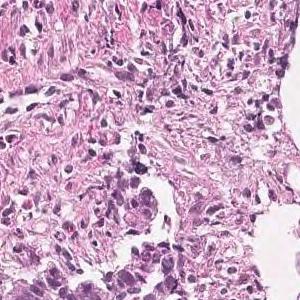
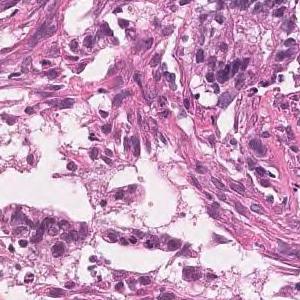
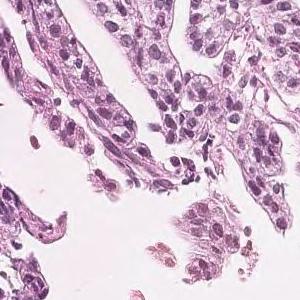
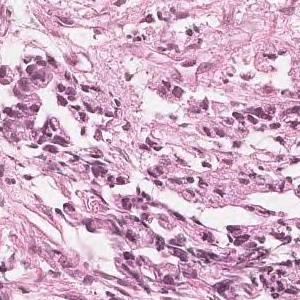
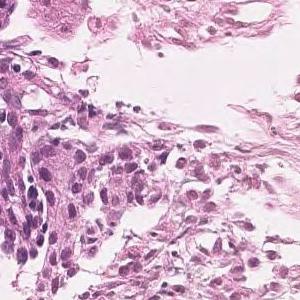
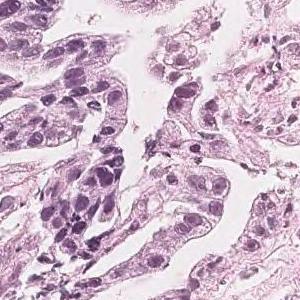
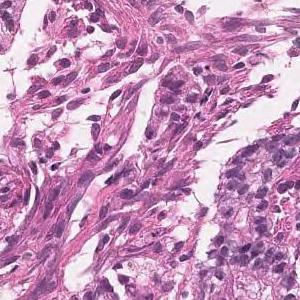
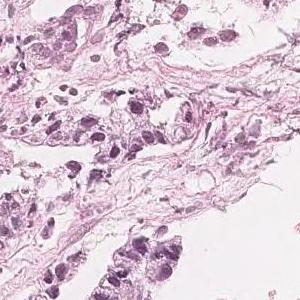
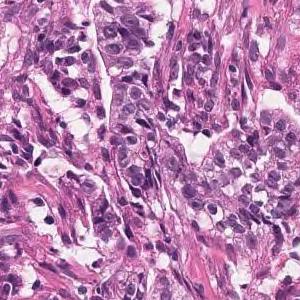
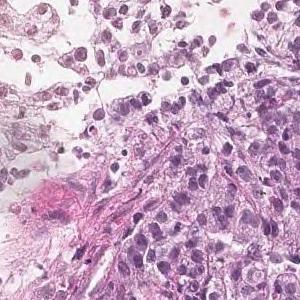
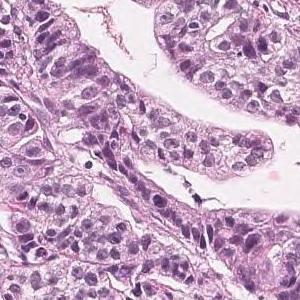
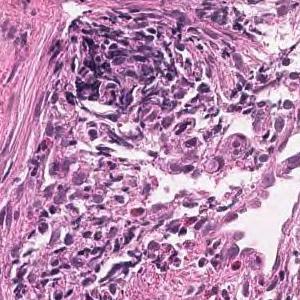
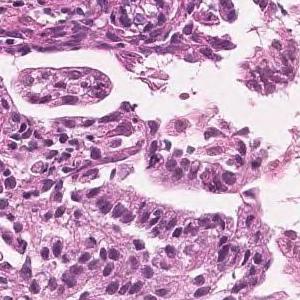
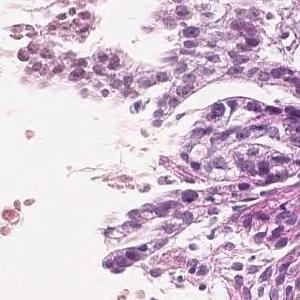
H&E stain; 20× magnification; 14 tiles from the same stomach biopsy slide; 300×300 px each.
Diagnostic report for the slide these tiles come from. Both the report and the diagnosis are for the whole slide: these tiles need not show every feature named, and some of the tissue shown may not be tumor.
Tumor tissue in which highly columnar atypical epithelial cells with nuclear enlargement and increased nuclear chromatin show papillary to papillary ductal structure and proliferate is observed. Papillary adenocarcinoma.
